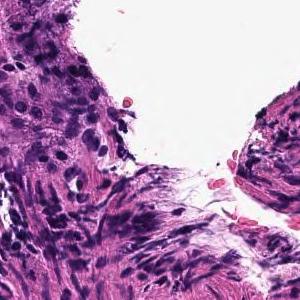
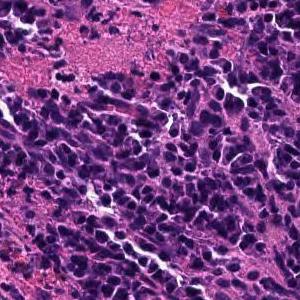
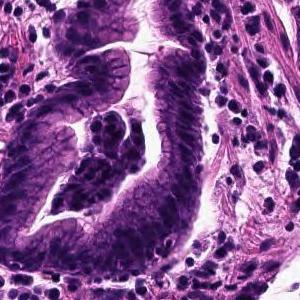
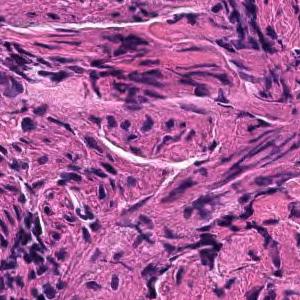
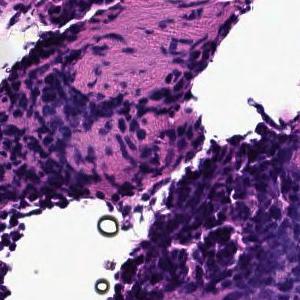
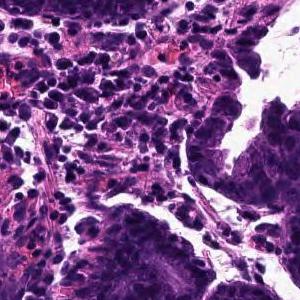
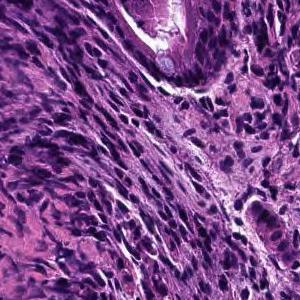
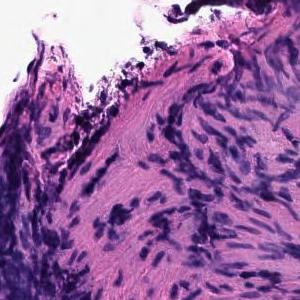
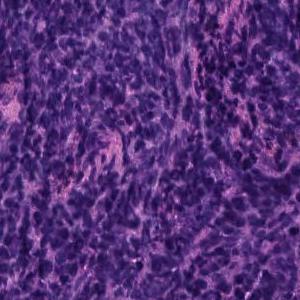
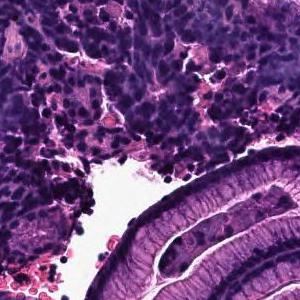
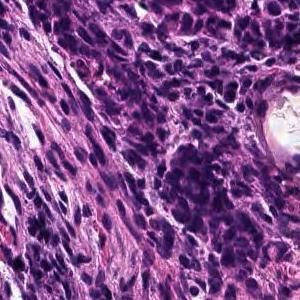
20× magnification; H&E stain; 11 image tiles from a single gastric biopsy slide.
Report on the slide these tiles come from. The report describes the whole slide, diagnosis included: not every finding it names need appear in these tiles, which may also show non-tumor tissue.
The superficial epithelium shows a large sheet-like shape, and some tumor tissue infiltrates with small irregular ducts. Poorly differentiated adenocarcinoma, solid-type
Histologic type: Poorly differentiated adenocarcinoma, solid type. This name comes from the Japanese Classification of Gastric Carcinoma; the WHO 2019 classification calls it tubular adenocarcinoma, poorly differentiated.
